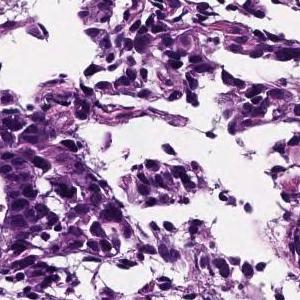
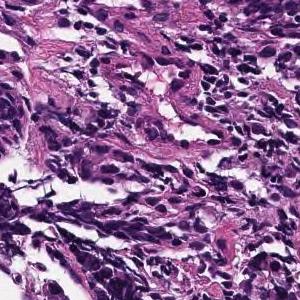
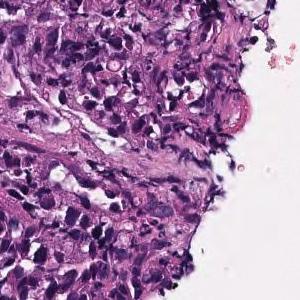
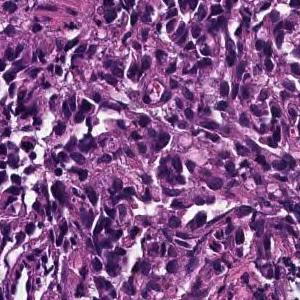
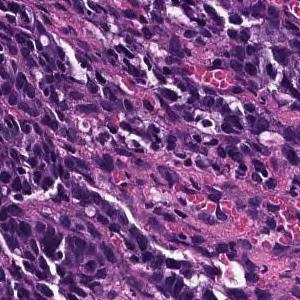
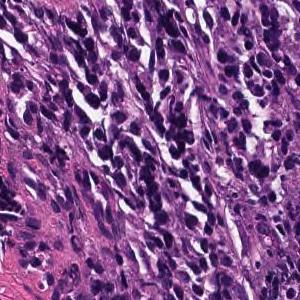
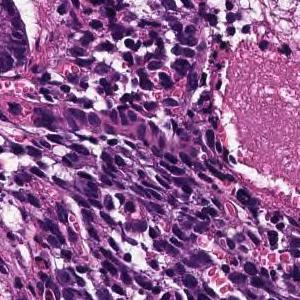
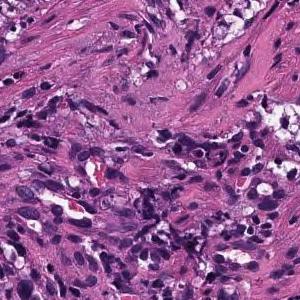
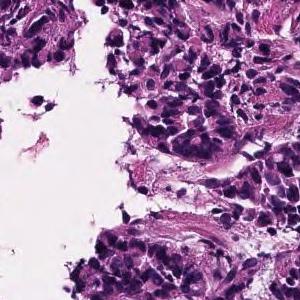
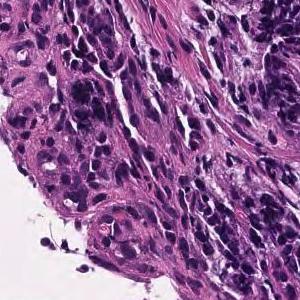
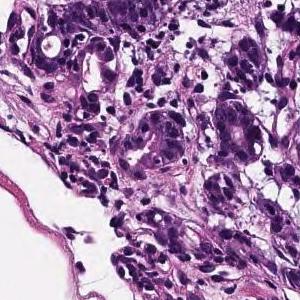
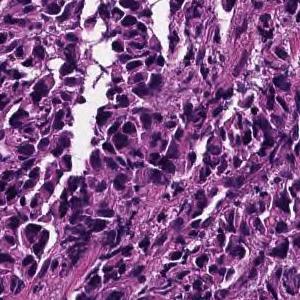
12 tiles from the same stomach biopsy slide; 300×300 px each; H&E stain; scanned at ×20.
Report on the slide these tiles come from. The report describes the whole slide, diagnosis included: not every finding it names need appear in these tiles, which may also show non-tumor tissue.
Poorly differentiated, solid adenocarcinoma (poorly differentiated adenocarcinoma, solid type) with tumor tissue diffusely infiltrated with atypical epithelial cells
Subtype: Poorly differentiated adenocarcinoma, solid type (Japanese Classification of Gastric Carcinoma). The WHO 2019 equivalent is tubular adenocarcinoma, poorly differentiated.
